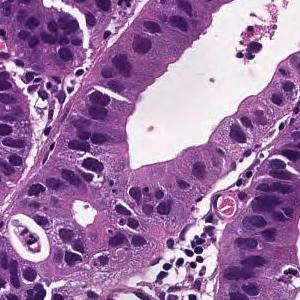
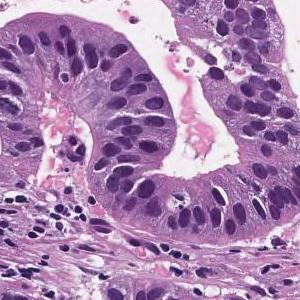
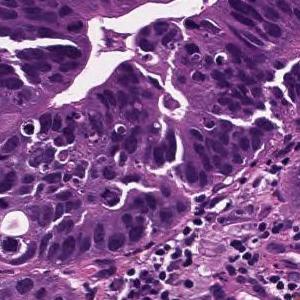
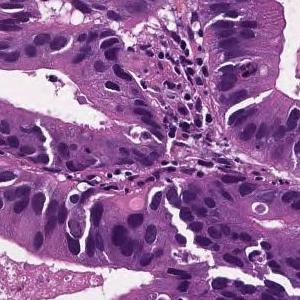
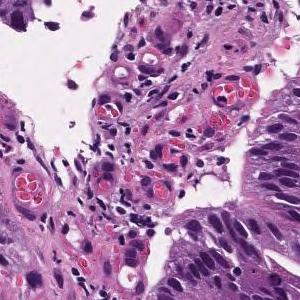
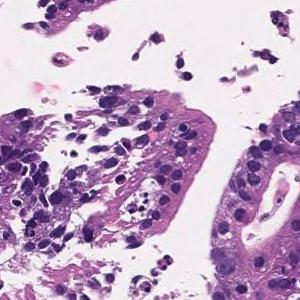
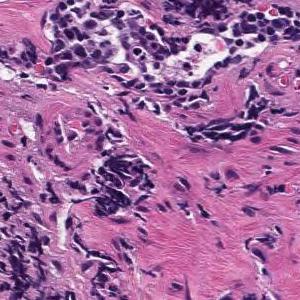
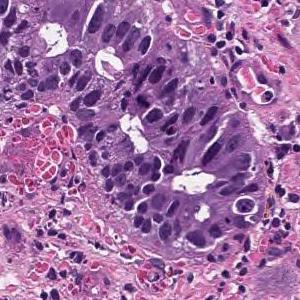
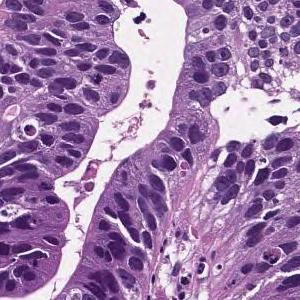
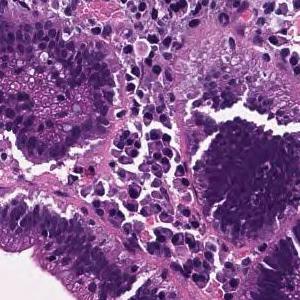
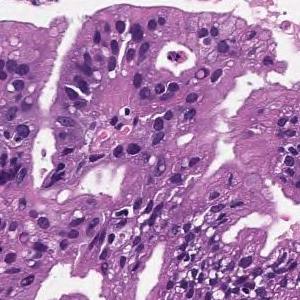
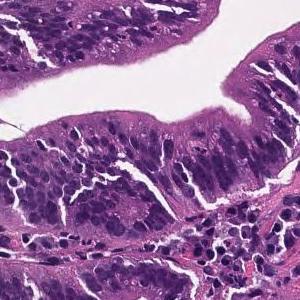
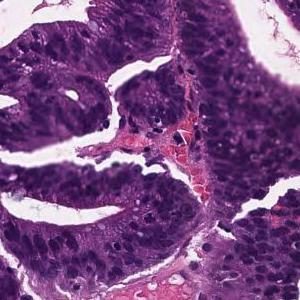
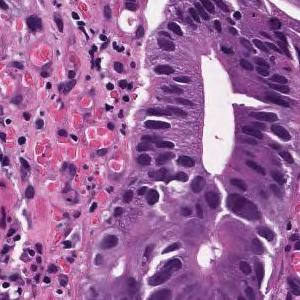
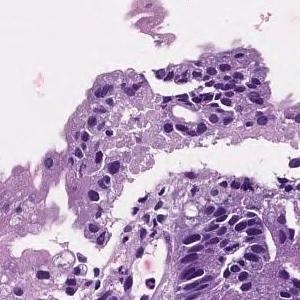
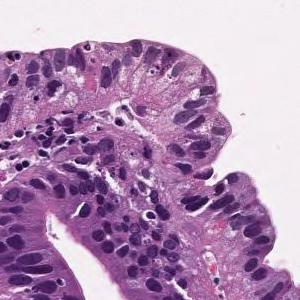
16 tiles from the same stomach biopsy slide; ×20; H&E stain.
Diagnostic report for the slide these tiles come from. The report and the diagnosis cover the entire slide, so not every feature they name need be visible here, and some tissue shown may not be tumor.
Tumor cells are large, highly columnar, large club-shaped nuclei, and are associated with chromatin aggregation. Papillary adenocarcinoma.
